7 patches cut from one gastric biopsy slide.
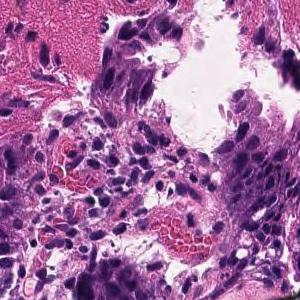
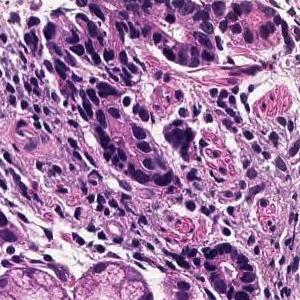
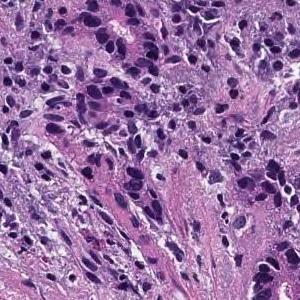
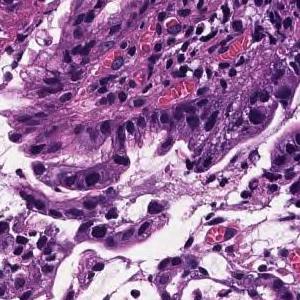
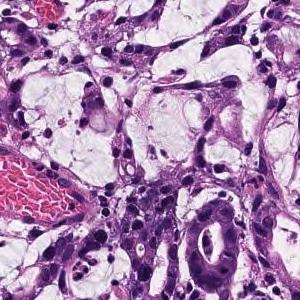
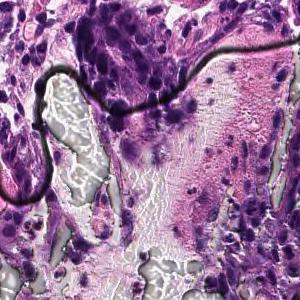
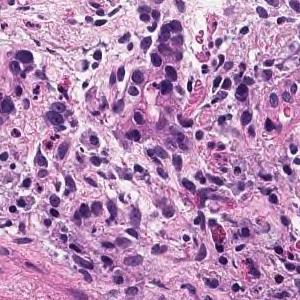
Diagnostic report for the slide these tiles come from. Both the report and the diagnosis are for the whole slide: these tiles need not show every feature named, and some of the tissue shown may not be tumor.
In the superficial epithelium, tumor tissue is found in which medium-sized to small, irregular glandular ducts are partially fused and infiltrated. moderately differentiated tubular adenocarcinoma
